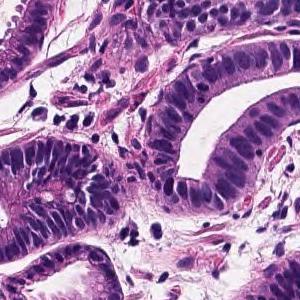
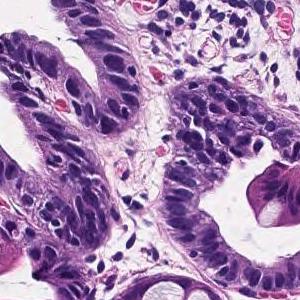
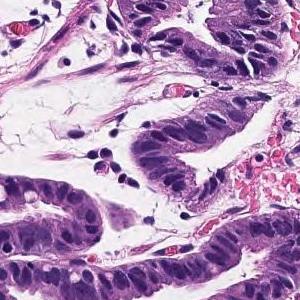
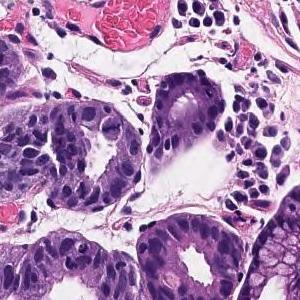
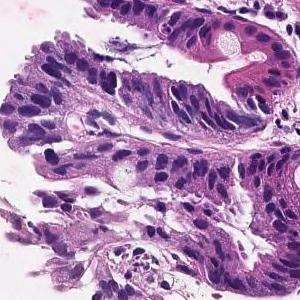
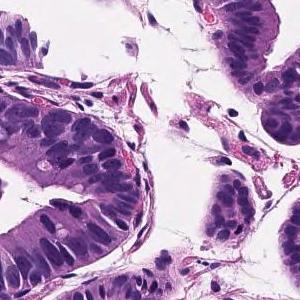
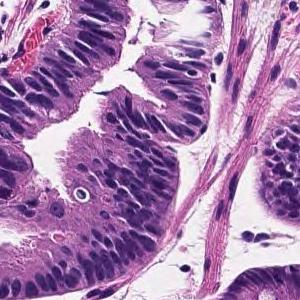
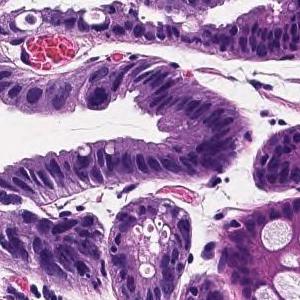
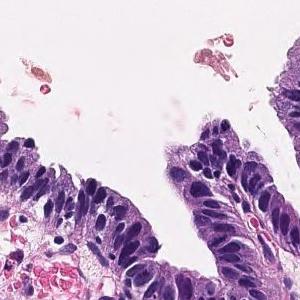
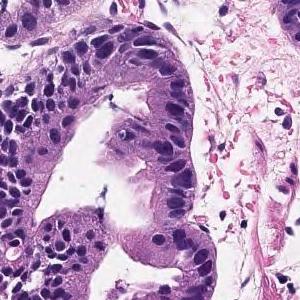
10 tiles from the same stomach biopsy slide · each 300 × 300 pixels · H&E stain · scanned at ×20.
Pathology report for the slide these tiles were cut from. The report and the diagnosis cover the entire slide, so not every feature they name need be visible here, and some tissue shown may not be tumor.
Tumor cells are large, highly columnar, large club-shaped nuclei, and are associated with chromatin aggregation. Papillary adenocarcinoma.
